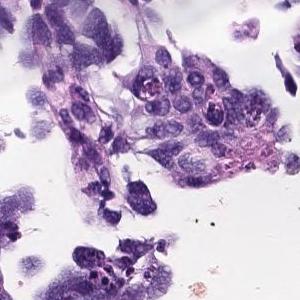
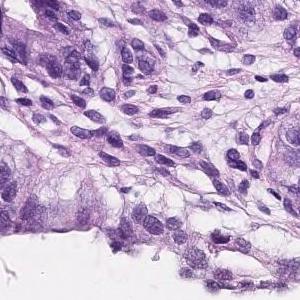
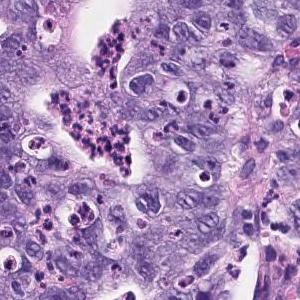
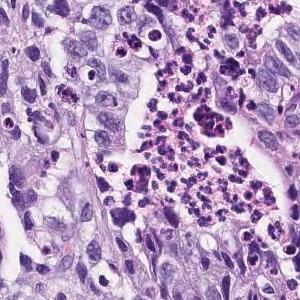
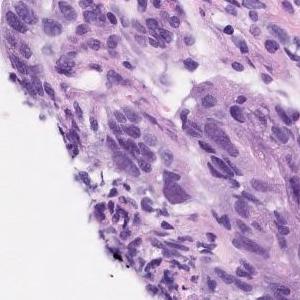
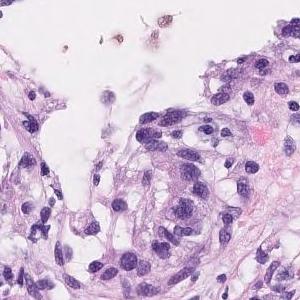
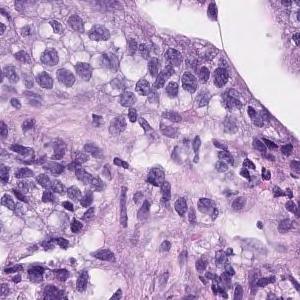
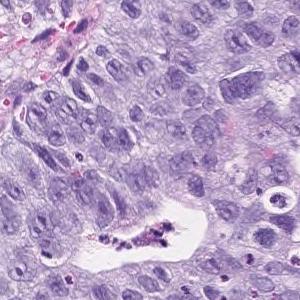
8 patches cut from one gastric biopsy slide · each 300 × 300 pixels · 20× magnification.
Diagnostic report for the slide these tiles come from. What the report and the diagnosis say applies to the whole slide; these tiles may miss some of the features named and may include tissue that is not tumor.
Tumor cells are large, highly columnar, large club-shaped nuclei, and are associated with chromatin aggregation. Papillary adenocarcinoma.
